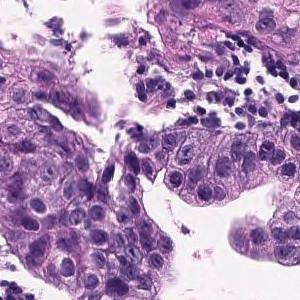
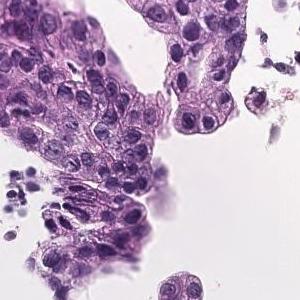
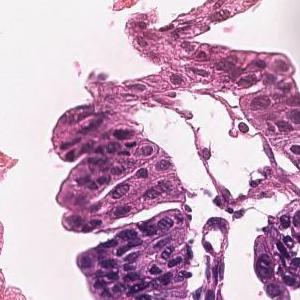
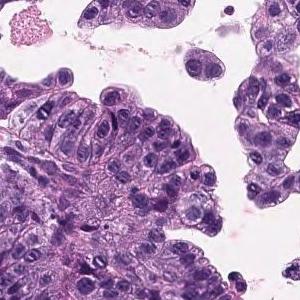
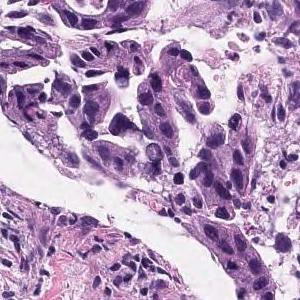
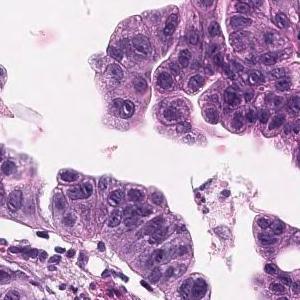
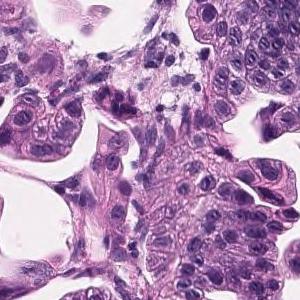
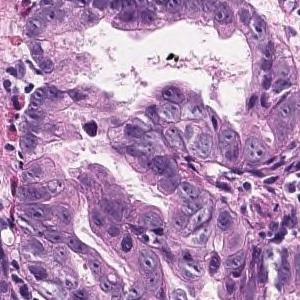
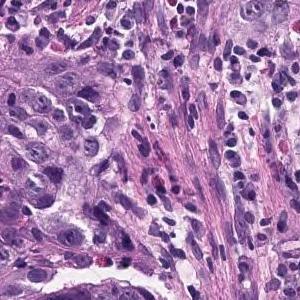
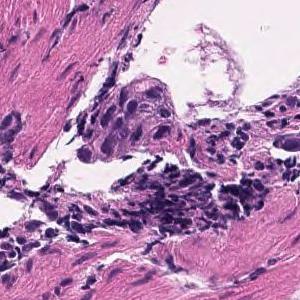
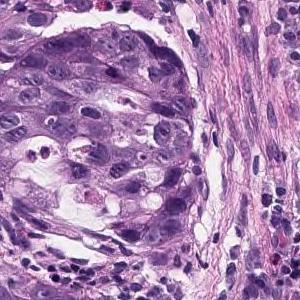
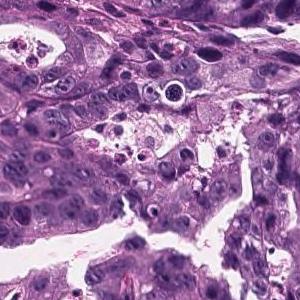
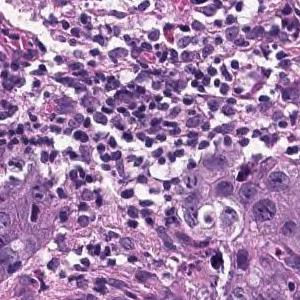
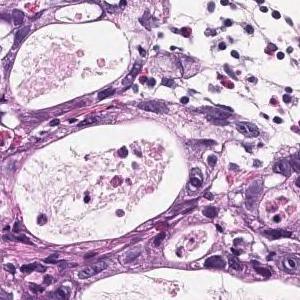
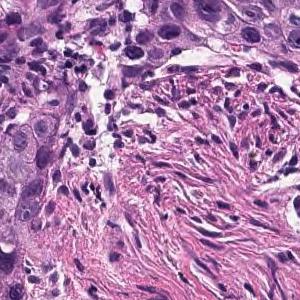
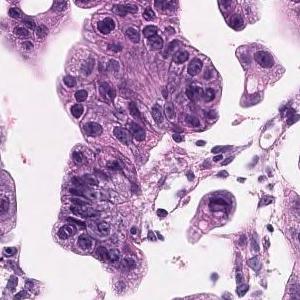
16 tiles from the same stomach biopsy slide; 300 × 300 pixels each; H&E stain; scanned at ×20.
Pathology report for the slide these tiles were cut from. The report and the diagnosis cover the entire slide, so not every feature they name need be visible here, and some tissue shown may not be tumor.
Tumor cells are large, highly columnar, large club-shaped nuclei, and are associated with chromatin aggregation. Papillary adenocarcinoma.
